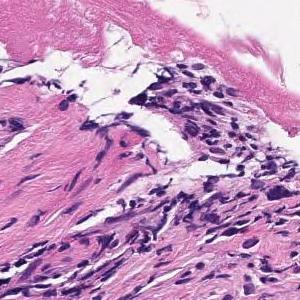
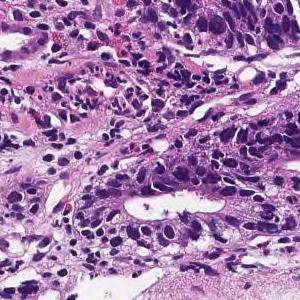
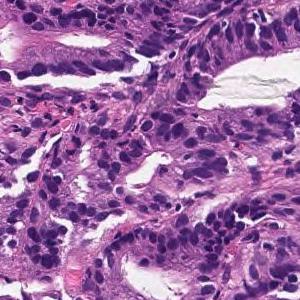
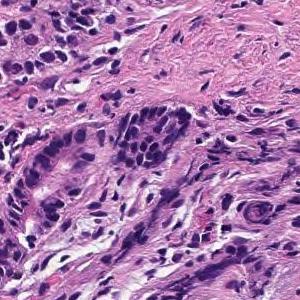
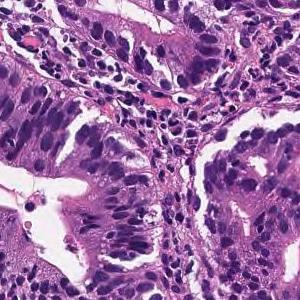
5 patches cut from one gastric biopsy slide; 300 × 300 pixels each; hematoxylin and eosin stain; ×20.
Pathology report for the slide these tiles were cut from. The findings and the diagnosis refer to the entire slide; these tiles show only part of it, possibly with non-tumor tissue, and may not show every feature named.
In the superficial epithelium, tumor tissue that invades by forming medium-sized to small, irregular ducts is observed. moderately differentiated tubular adenocarcinoma.
